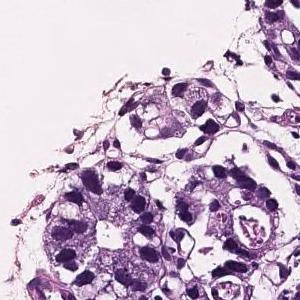
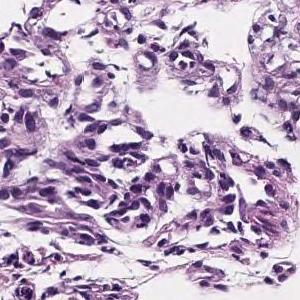
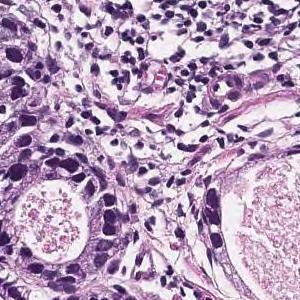
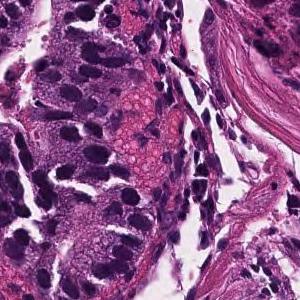
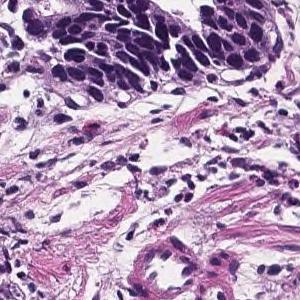
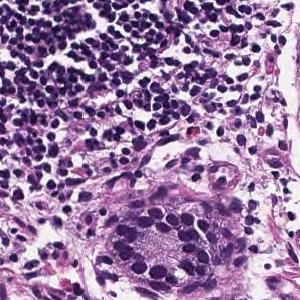
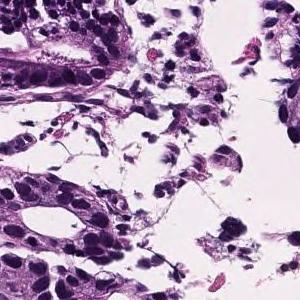
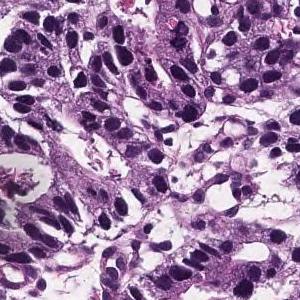
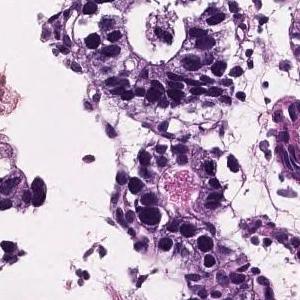
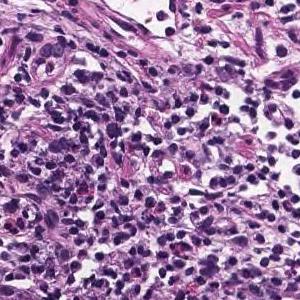
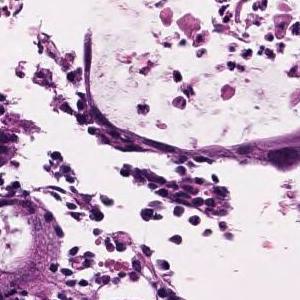
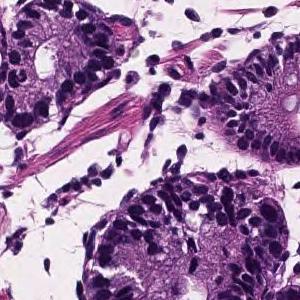
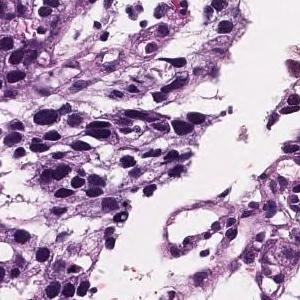
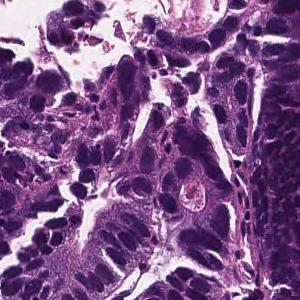
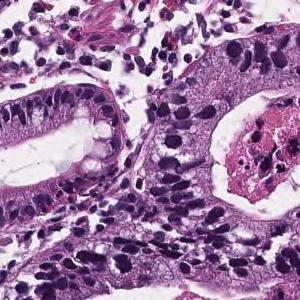
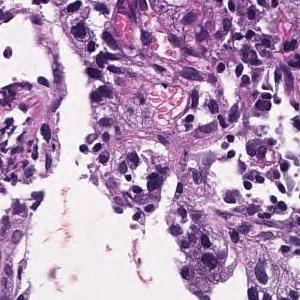
16 image tiles from a single gastric biopsy slide · ×20 · hematoxylin and eosin stain.
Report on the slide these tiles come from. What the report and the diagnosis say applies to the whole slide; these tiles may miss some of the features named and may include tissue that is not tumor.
In the superficial epithelium, tumor tissue that invades by forming medium-sized to small, irregular ducts is observed. Well differentiated tubular adenocarcinoma.
